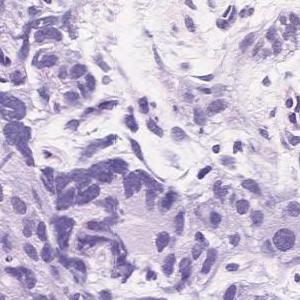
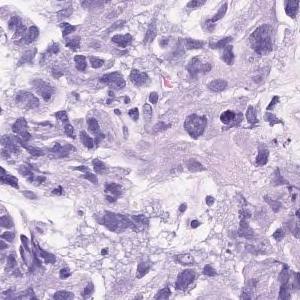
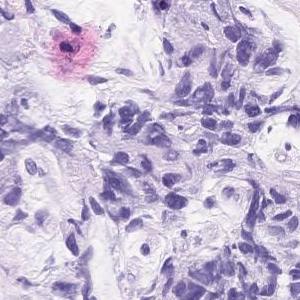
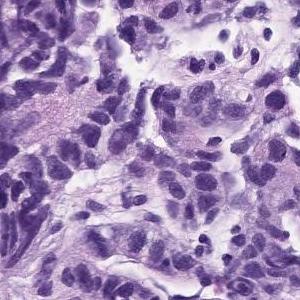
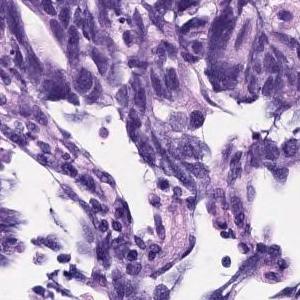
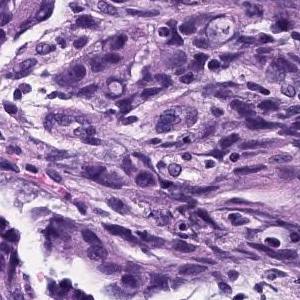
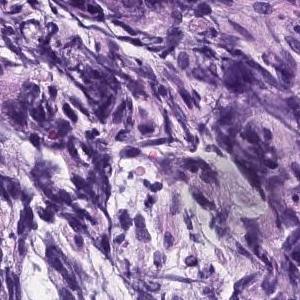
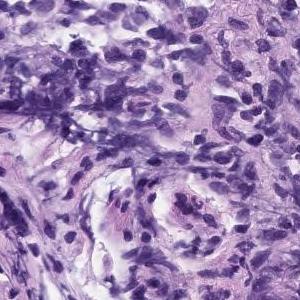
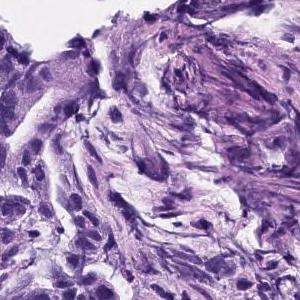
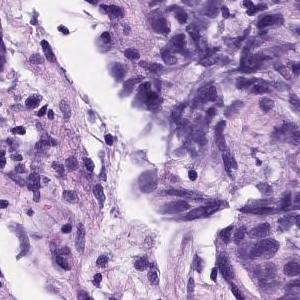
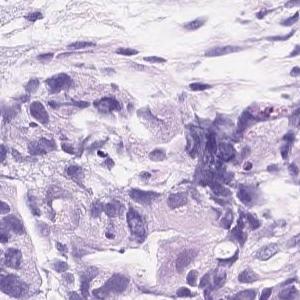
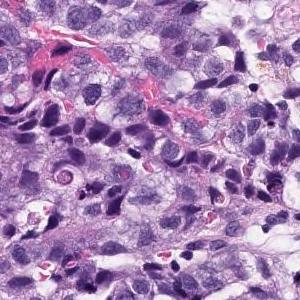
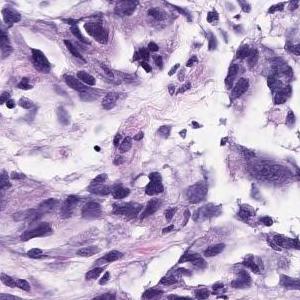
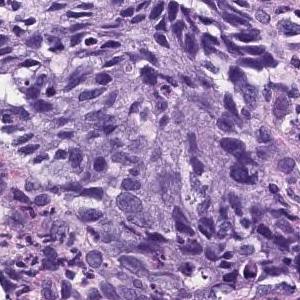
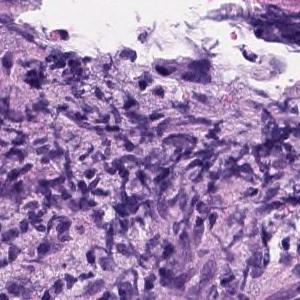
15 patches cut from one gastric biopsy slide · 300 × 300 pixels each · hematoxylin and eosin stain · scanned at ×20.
Pathology report for the slide these tiles were cut from. Both the report and the diagnosis are for the whole slide: these tiles need not show every feature named, and some of the tissue shown may not be tumor.
Atypical epithelial cells with an increased N/C ratio proliferate and consist of a part that shows the formation of gland ducts and a part that shows solid growth. Poorly differentiated adenocarcinoma, solid-type
Histologic type: Poorly differentiated adenocarcinoma, solid type (Japanese Classification of Gastric Carcinoma). The WHO 2019 equivalent is tubular adenocarcinoma, poorly differentiated.
